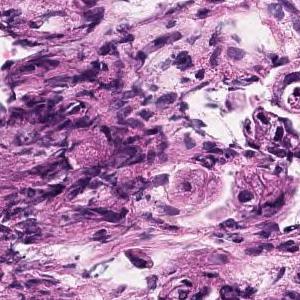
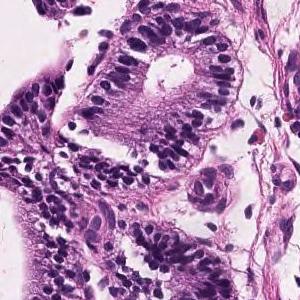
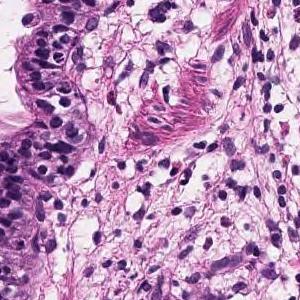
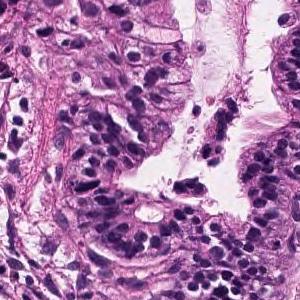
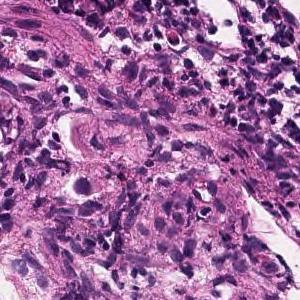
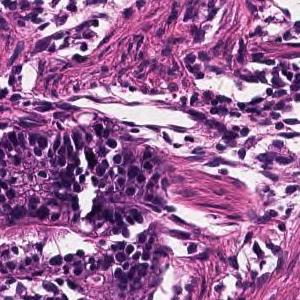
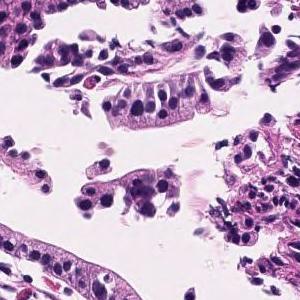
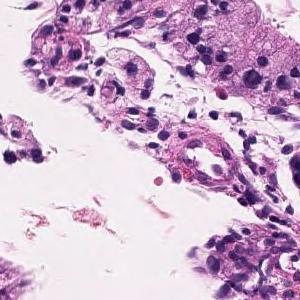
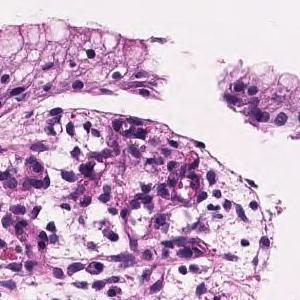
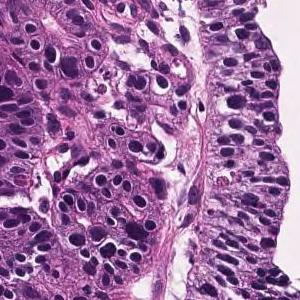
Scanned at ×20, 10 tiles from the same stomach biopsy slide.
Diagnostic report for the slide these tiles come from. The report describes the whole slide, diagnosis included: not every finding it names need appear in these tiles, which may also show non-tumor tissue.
Tumor tissue consisting of large papillary structures or irregular glandular ducts partially fused and infiltrated is observed in the superficial epithelium. Well to moderately differentiated tubular adenocarcinoma.
The dataset labels this slide moderately differentiated tubular adenocarcinoma.
